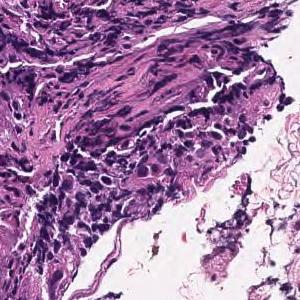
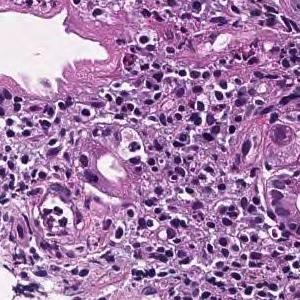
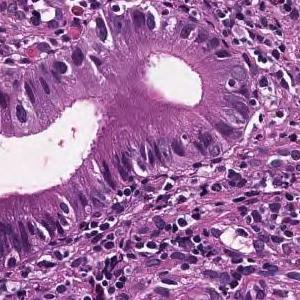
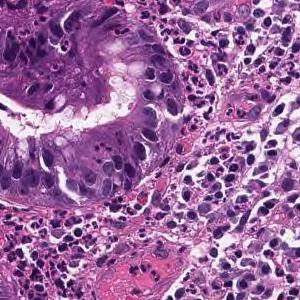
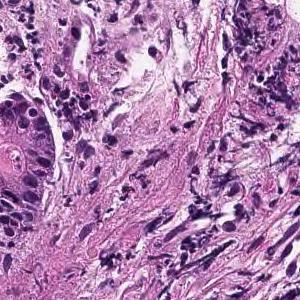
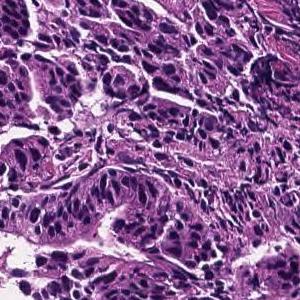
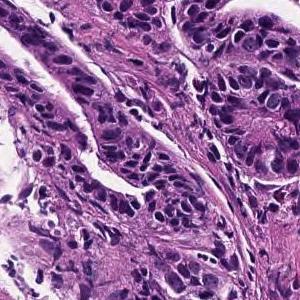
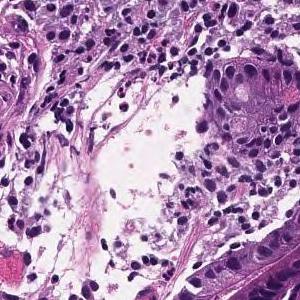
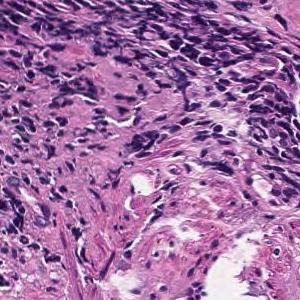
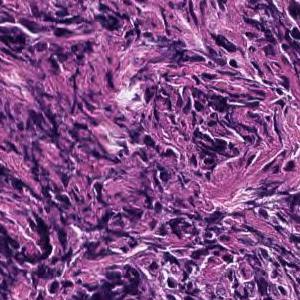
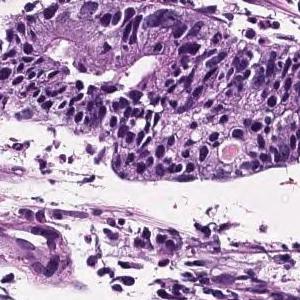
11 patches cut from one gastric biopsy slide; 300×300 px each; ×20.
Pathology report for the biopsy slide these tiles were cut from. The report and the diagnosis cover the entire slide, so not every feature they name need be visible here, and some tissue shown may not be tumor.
On the superficial epithelium, tumor tissue consisting of large, irregular glandular ducts partially fused and infiltrated is observed. Well to moderately differentiated tubular adenocarcinoma (well differentiated tubular adenocarcinoma, moderately differentiated tubular adenocarcinoma)
Histologic type: Well to moderately differentiated tubular adenocarcinoma.
